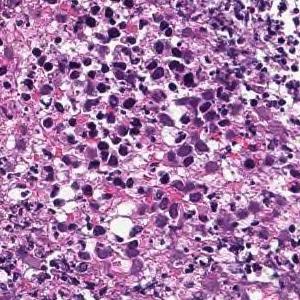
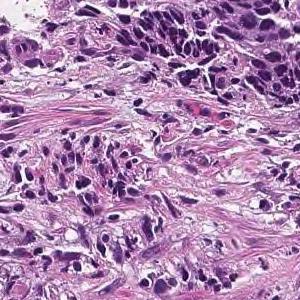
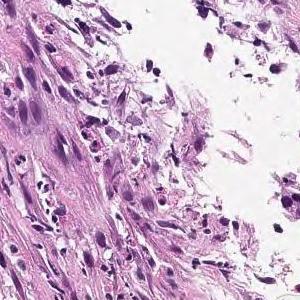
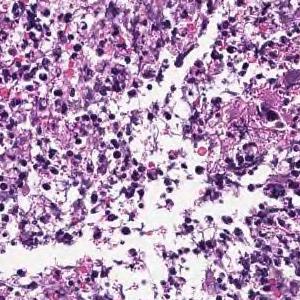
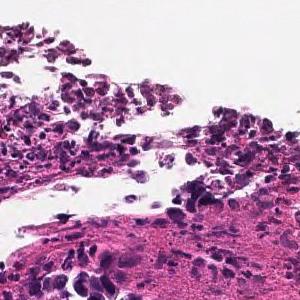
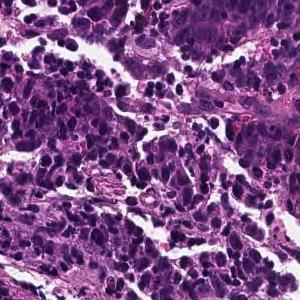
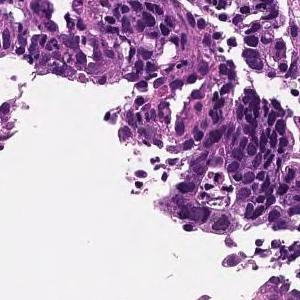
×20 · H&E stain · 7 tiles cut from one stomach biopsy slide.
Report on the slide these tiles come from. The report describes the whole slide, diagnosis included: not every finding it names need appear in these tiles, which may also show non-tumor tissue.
In the superficial epithelium, tumor tissue that invades by forming medium-sized to small, irregular ducts is observed. moderately differentiated tubular adenocarcinoma.
